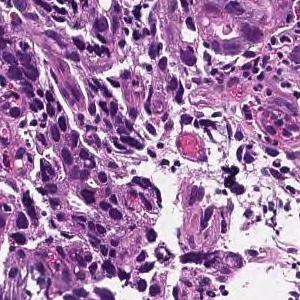
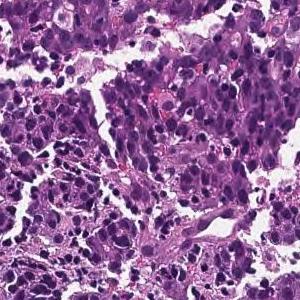
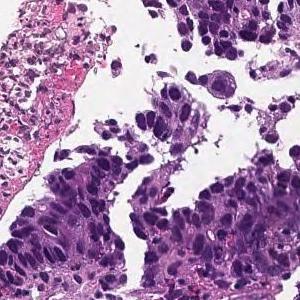
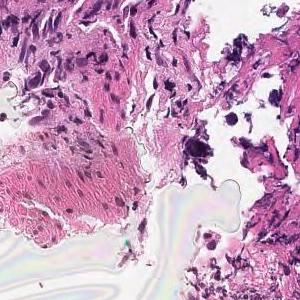
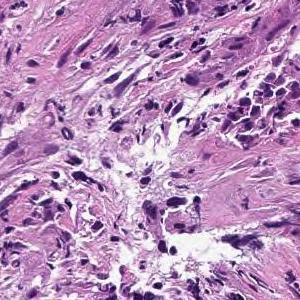
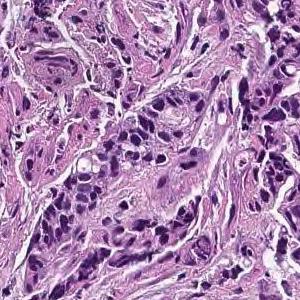
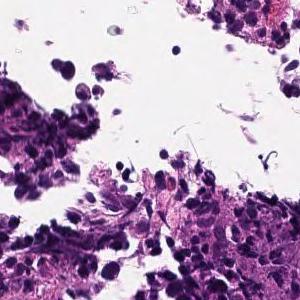
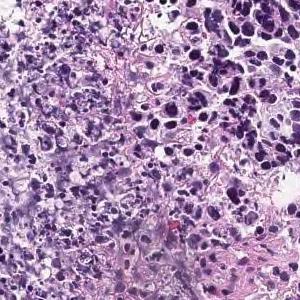
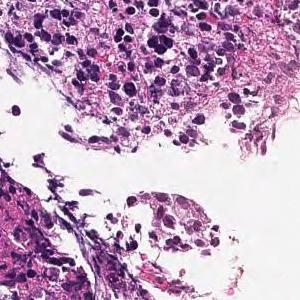
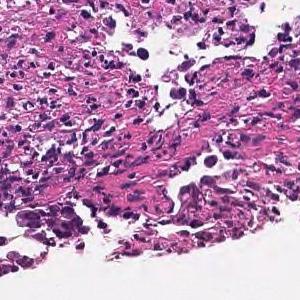
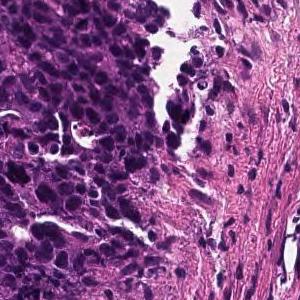
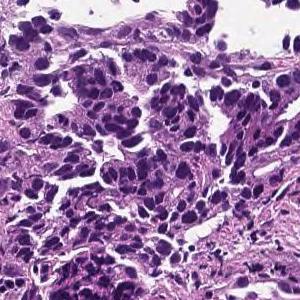
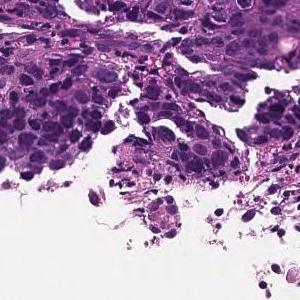
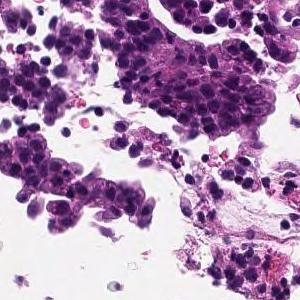
Scanned at ×20; hematoxylin and eosin stain; 14 tiles cut from one stomach biopsy slide.
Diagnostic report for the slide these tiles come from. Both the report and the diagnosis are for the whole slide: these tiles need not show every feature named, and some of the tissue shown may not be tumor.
In the superficial epithelium, tumor tissue that invades by forming medium-sized to small, irregular ducts is observed. moderately differentiated tubular adenocarcinoma.
